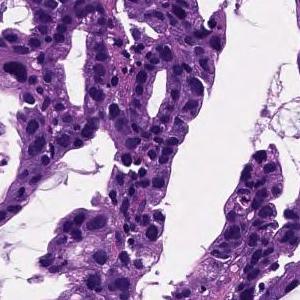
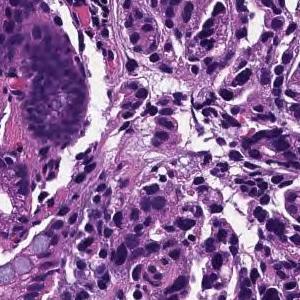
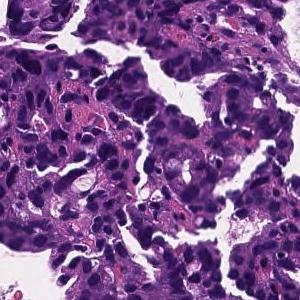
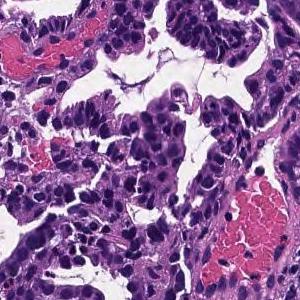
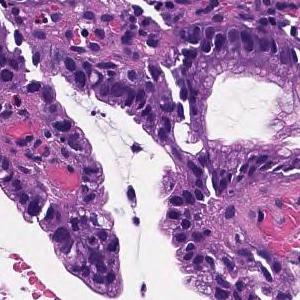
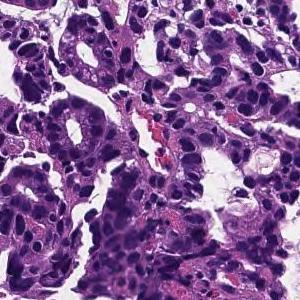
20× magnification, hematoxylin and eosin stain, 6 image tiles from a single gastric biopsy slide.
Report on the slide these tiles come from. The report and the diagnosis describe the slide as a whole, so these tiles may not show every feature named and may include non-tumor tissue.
Tumor cells are large, highly columnar, large club-shaped nuclei, and are associated with chromatin aggregation. Papillary adenocarcinoma.
